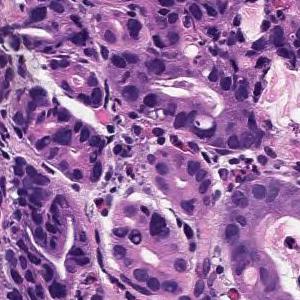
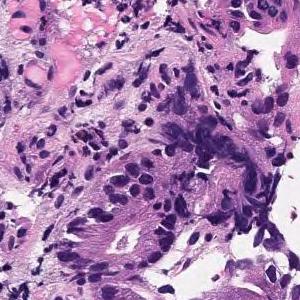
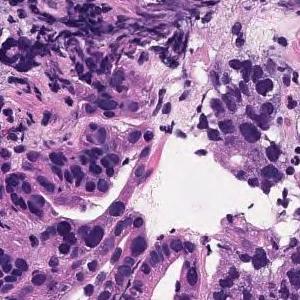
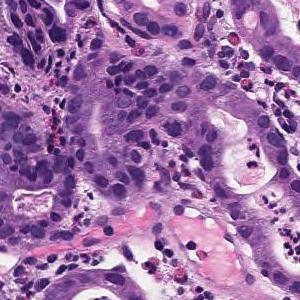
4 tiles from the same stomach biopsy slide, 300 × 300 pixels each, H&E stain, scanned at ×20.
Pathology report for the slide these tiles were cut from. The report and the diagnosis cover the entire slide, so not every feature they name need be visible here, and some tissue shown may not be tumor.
On the superficial epithelium, tumor tissue consisting of large, irregular glandular ducts partially fused and infiltrated is observed. Well to moderately differentiated tubular adenocarcinoma (well differentiated tubular adenocarcinoma, moderately differentiated tubular adenocarcinoma)
Histological subtype: Well to moderately differentiated tubular adenocarcinoma.
